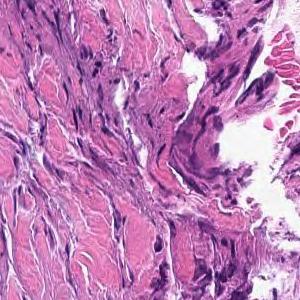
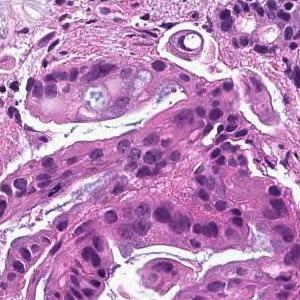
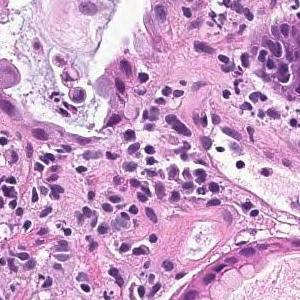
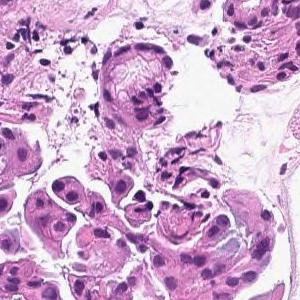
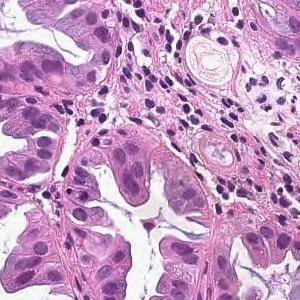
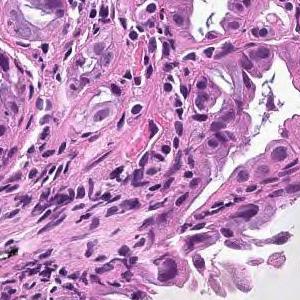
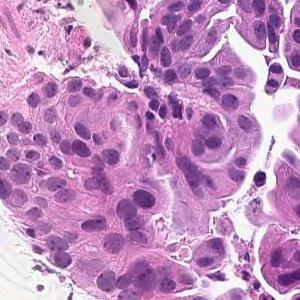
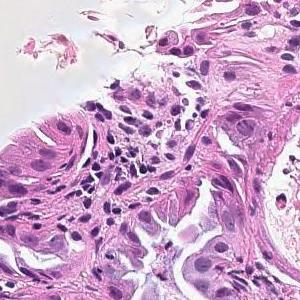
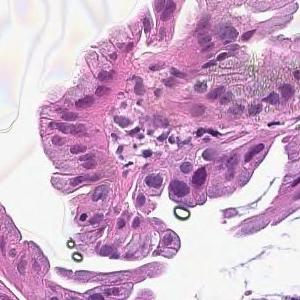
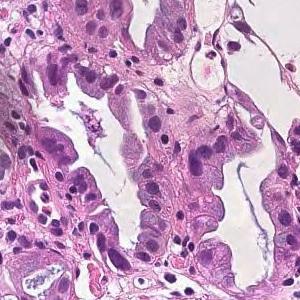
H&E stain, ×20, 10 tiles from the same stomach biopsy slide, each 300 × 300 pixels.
The pathologist's report on the biopsy slide these tiles were taken from. Both the report and the diagnosis are for the whole slide: these tiles need not show every feature named, and some of the tissue shown may not be tumor.
From the superficial epithelium to the muscularis mucosae, tumor tissue consisting of medium-sized and irregular glandular ducts infiltrating is observed. Well differentiated tubular adenocarcinoma
